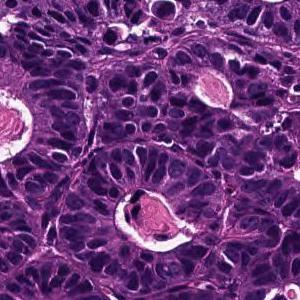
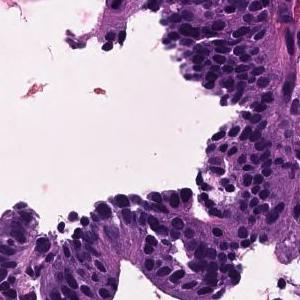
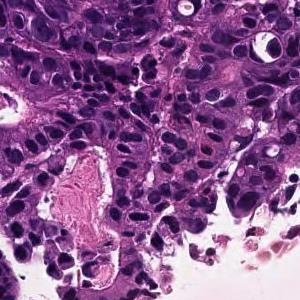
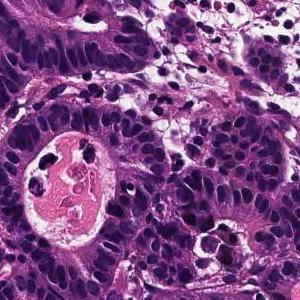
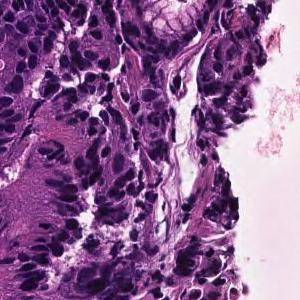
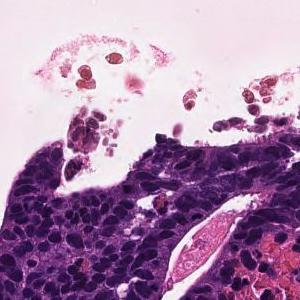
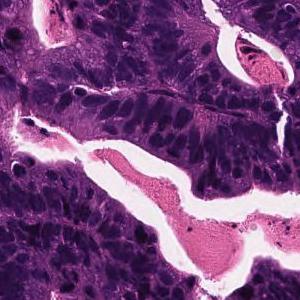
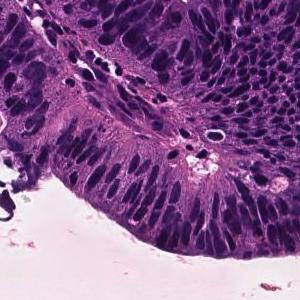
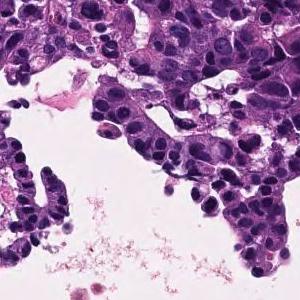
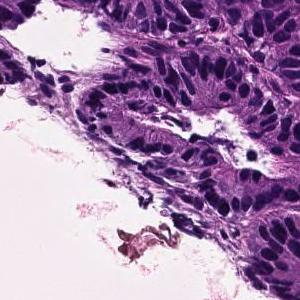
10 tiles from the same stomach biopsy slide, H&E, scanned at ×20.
Diagnostic report for the slide these tiles come from. The report and the diagnosis describe the slide as a whole, so these tiles may not show every feature named and may include non-tumor tissue.
In the superficial epithelium, tumor tissue that invades by forming medium-sized to small, irregular ducts is observed. moderately differentiated tubular adenocarcinoma.
